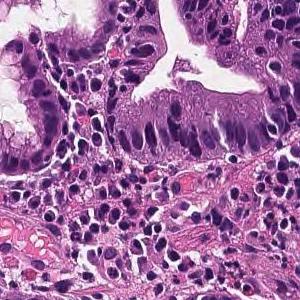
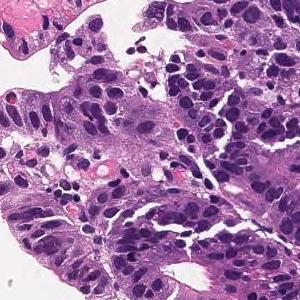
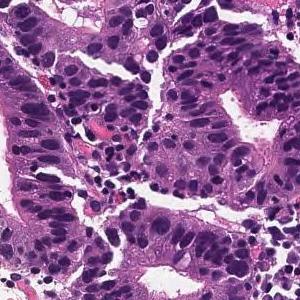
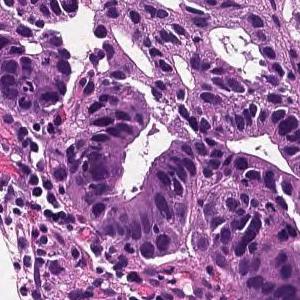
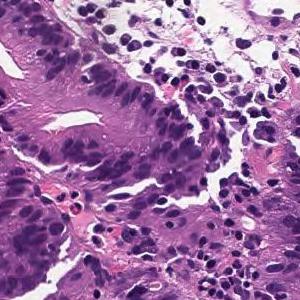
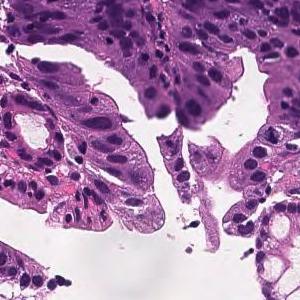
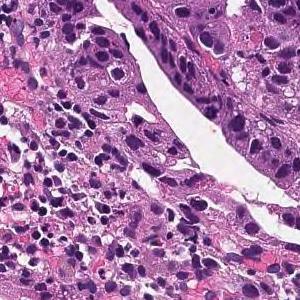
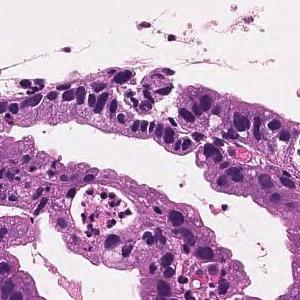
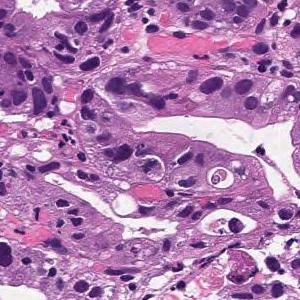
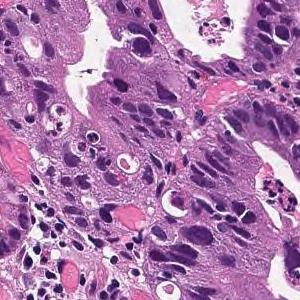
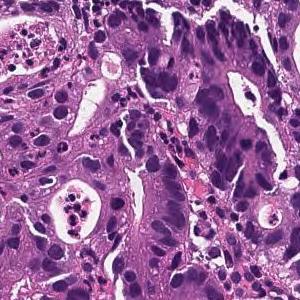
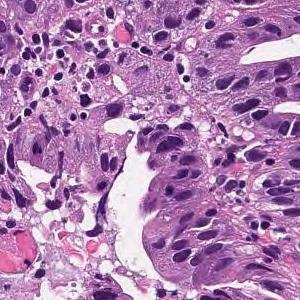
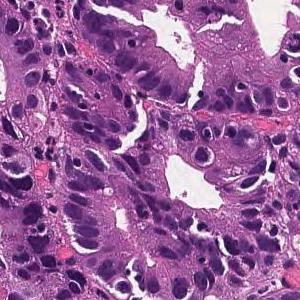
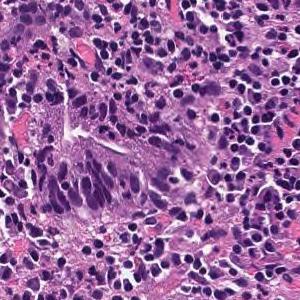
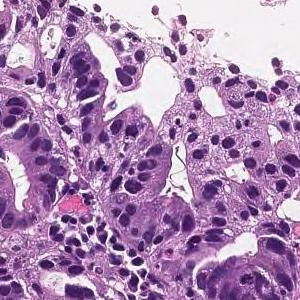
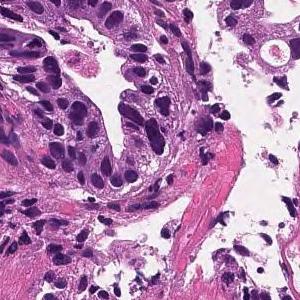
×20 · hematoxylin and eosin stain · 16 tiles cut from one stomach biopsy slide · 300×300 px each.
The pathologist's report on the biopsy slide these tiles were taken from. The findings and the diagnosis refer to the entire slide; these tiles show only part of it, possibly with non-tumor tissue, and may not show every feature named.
From the superficial epithelium to the muscularis mucosae, tumor tissue consisting of medium-sized and irregular glandular ducts infiltrating is observed. Well differentiated tubular adenocarcinoma
